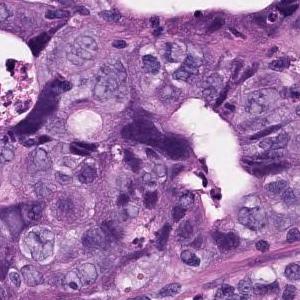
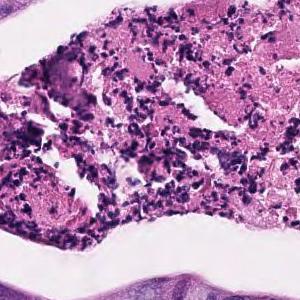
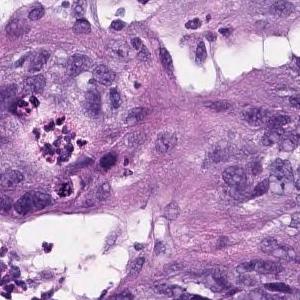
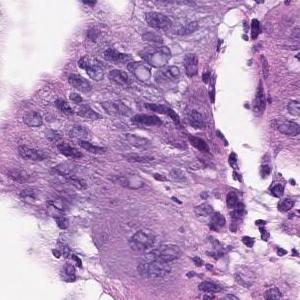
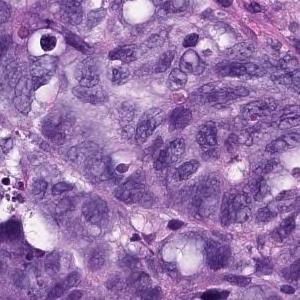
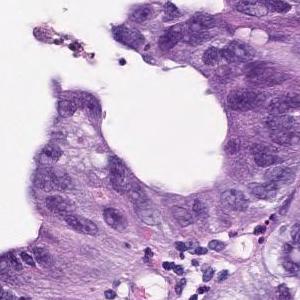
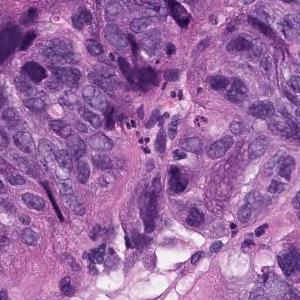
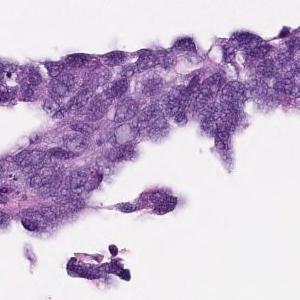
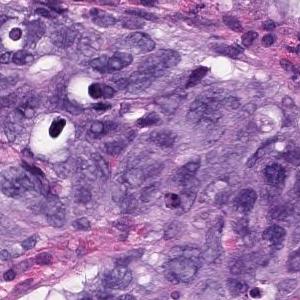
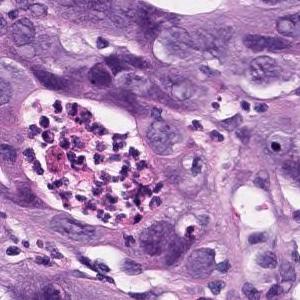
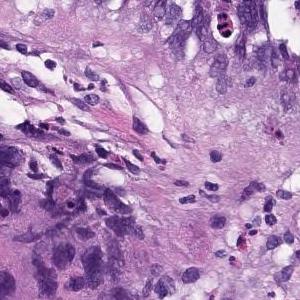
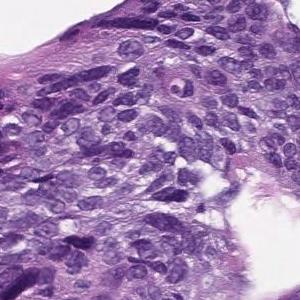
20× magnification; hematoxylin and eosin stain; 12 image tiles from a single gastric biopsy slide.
The pathologist's report on the biopsy slide these tiles were taken from. What the report and the diagnosis say applies to the whole slide; these tiles may miss some of the features named and may include tissue that is not tumor.
In the superficial epithelium, tumor tissue that invades by forming medium-sized to small, irregular ducts is observed. Moderately differentiated adenocarcinoma.
Subtype: Moderately differentiated tubular adenocarcinoma.
